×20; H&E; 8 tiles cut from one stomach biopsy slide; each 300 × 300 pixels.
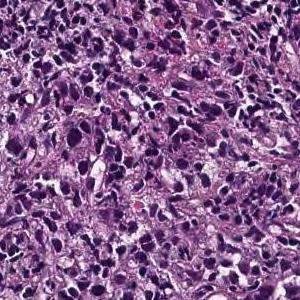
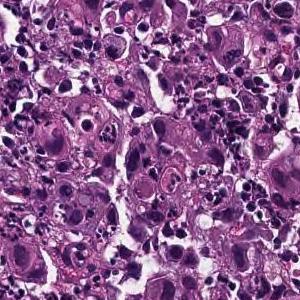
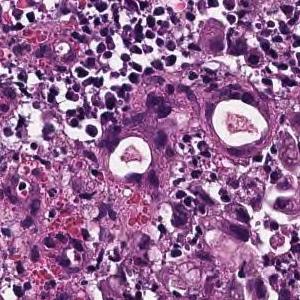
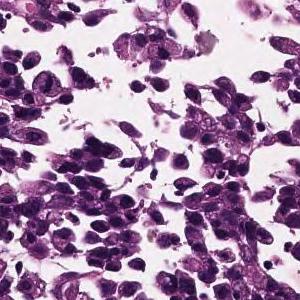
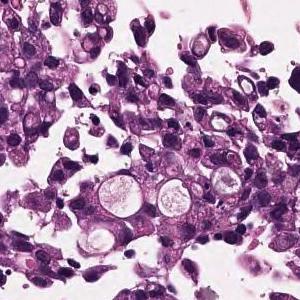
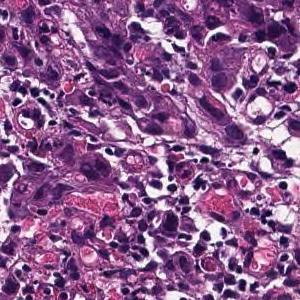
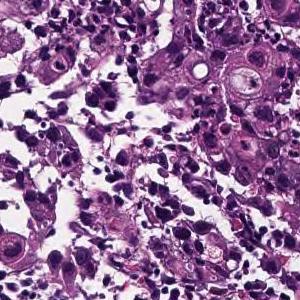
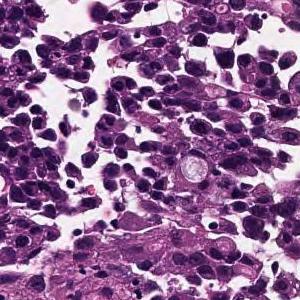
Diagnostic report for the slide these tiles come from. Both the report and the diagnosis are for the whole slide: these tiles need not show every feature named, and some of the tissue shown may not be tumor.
The superficial epithelium shows a large sheet-like shape, and some tumor tissue infiltrates with small irregular ducts. Poorly differentiated adenocarcinoma, solid-type
Histologic type: Poorly differentiated adenocarcinoma, solid type, a category of the Japanese Classification of Gastric Carcinoma; in the WHO 2019 classification it is tubular adenocarcinoma, poorly differentiated.
